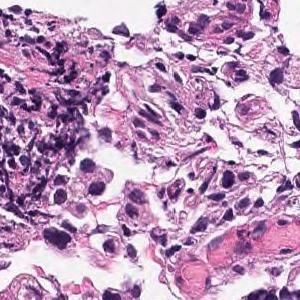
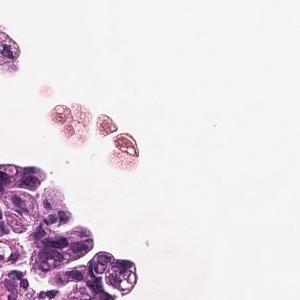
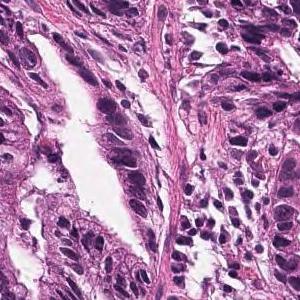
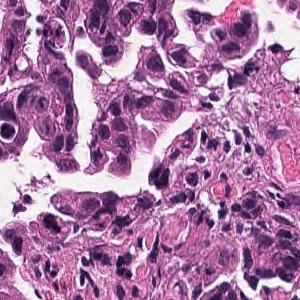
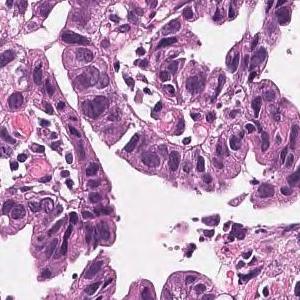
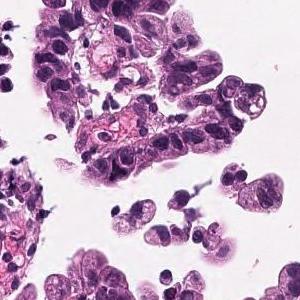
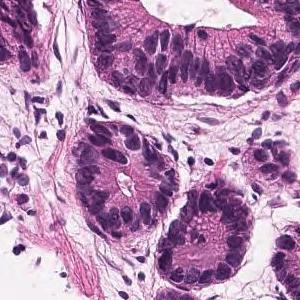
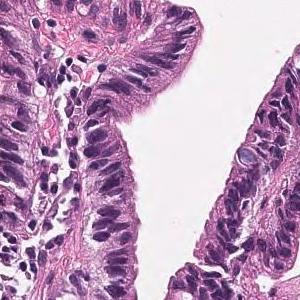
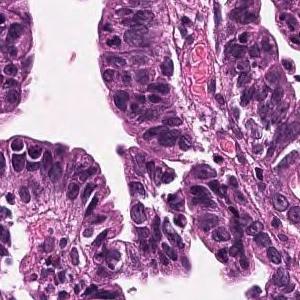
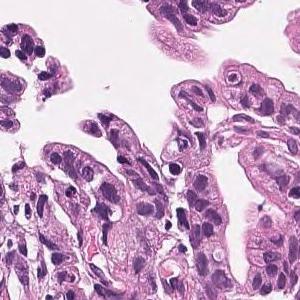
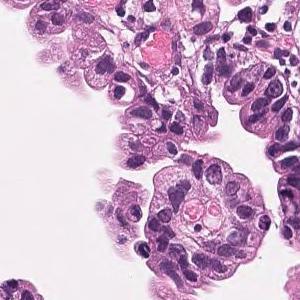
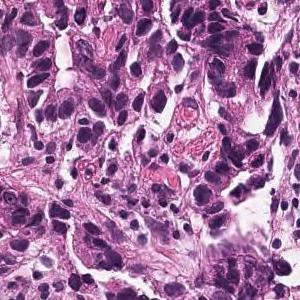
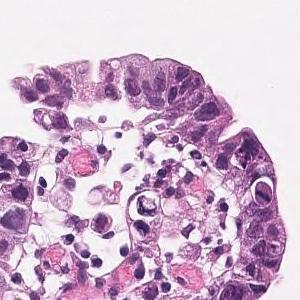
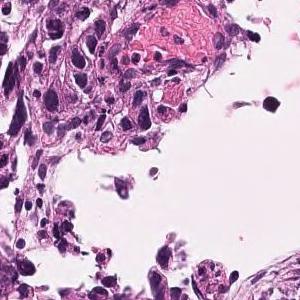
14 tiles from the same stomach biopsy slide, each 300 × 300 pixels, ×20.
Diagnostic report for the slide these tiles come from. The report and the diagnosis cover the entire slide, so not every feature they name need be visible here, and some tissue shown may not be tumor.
Medium to small, irregular glandular ducts are formed in the superficial epithelium, and in some cases, the glandular ducts are fused to show solid alveolar lesions and infiltrating tumor tissue is observed. Moderately to poorly differentiated adenocarcinoma.
